×20; 7 patches cut from one gastric biopsy slide.
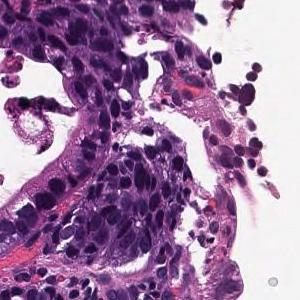
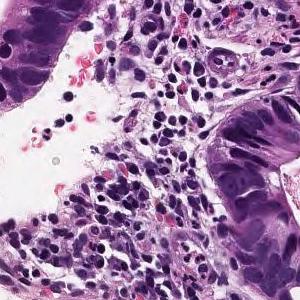
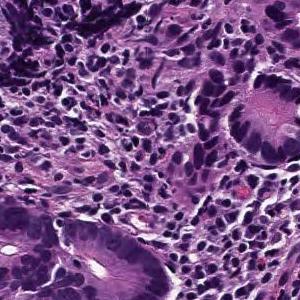
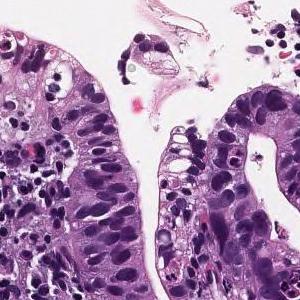
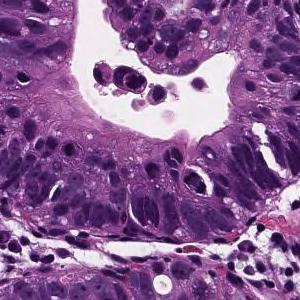
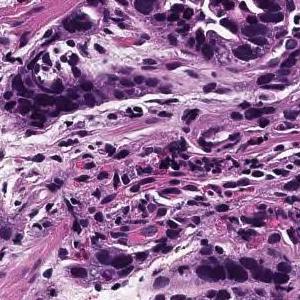
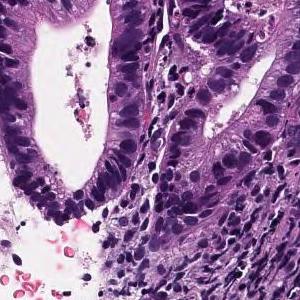
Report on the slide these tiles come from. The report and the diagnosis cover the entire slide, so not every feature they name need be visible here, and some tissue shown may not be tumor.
From the superficial epithelium to the muscularis mucosae, tumor tissue consisting of medium-sized and irregular glandular ducts infiltrating is observed. Well differentiated tubular adenocarcinoma
